16 image tiles from a single gastric biopsy slide; hematoxylin and eosin stain.
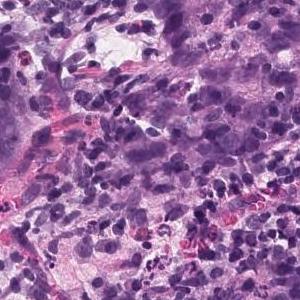
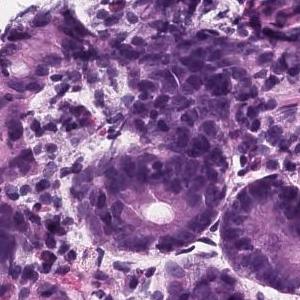
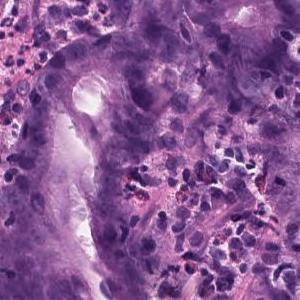
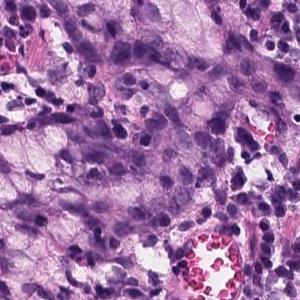
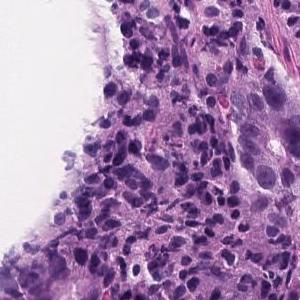
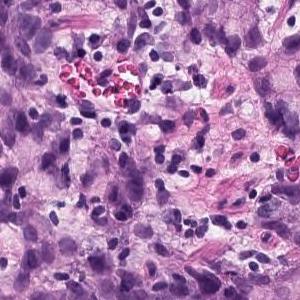
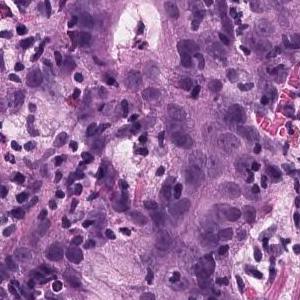
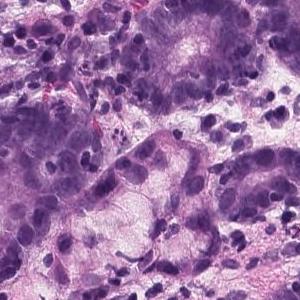
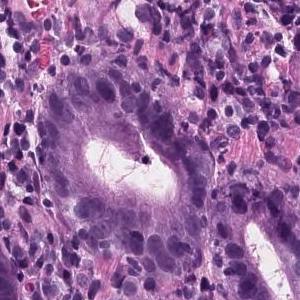
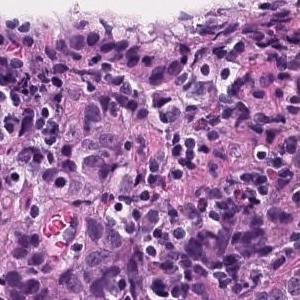
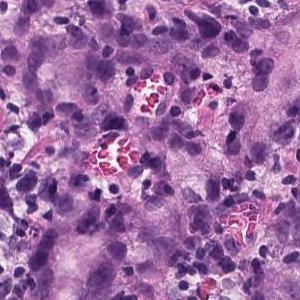
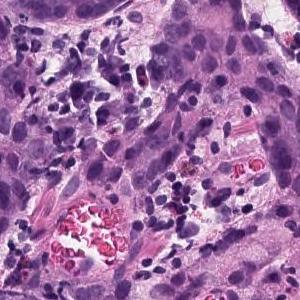
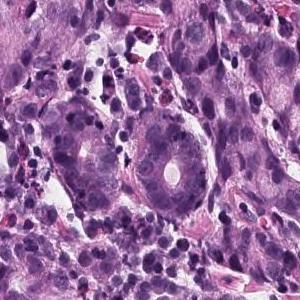
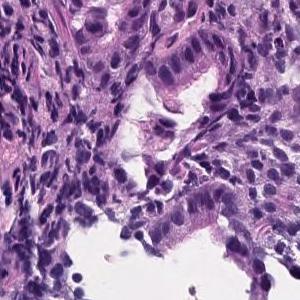
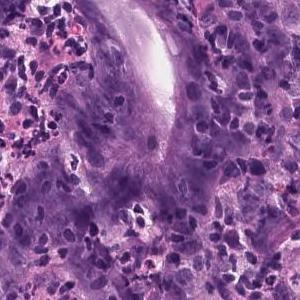
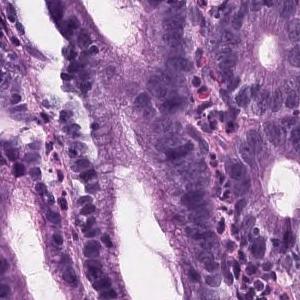
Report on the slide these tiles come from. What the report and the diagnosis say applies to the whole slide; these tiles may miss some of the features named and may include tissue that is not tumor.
In the superficial epithelium, tumor tissue that invades by forming medium-sized to small, irregular ducts is observed. Moderately differentiated adenocarcinoma.
Classified as moderately differentiated tubular adenocarcinoma.
